Hematoxylin and eosin stain, 12 image tiles from a single gastric biopsy slide.
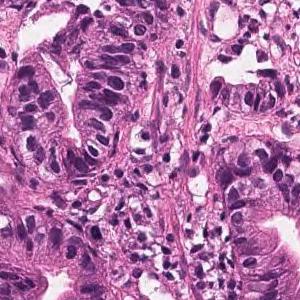
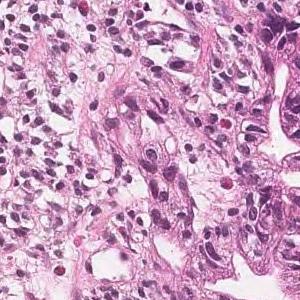
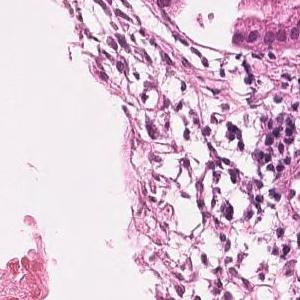
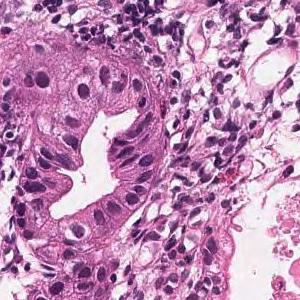
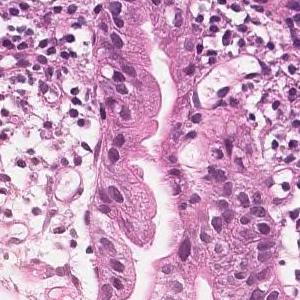
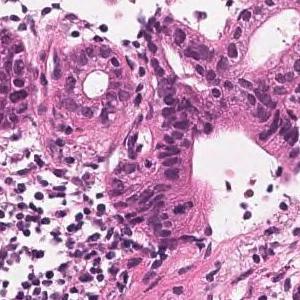
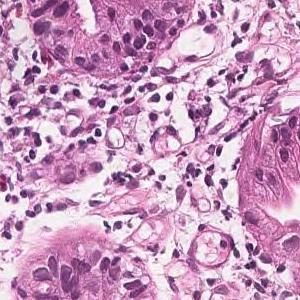
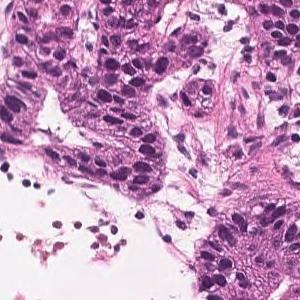
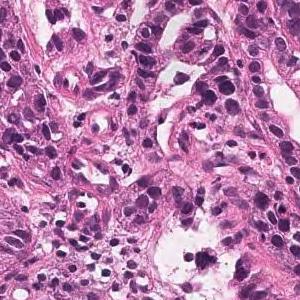
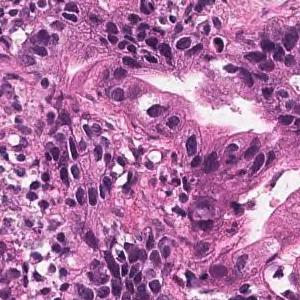
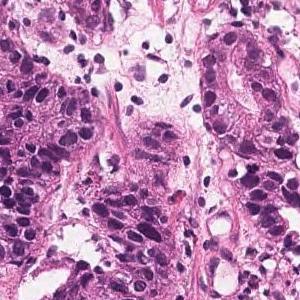
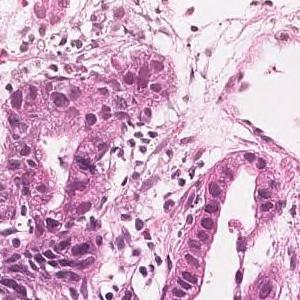
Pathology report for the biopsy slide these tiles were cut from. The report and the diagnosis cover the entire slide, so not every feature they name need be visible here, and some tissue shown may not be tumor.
Tumor tissue consisting of medium-sized and irregular ducts is observed infiltrating in the superficial epithelium. Tumor cells are highly columnar, with nuclei aligned basolaterally and polarized. Well differentiated tubular adenocarcinoma.
